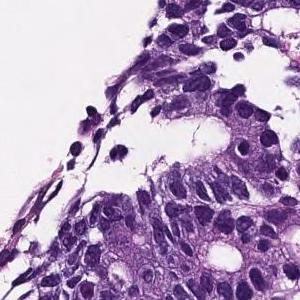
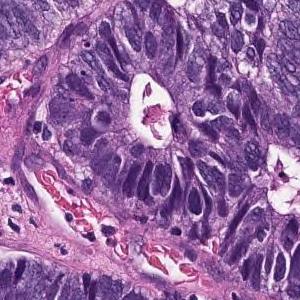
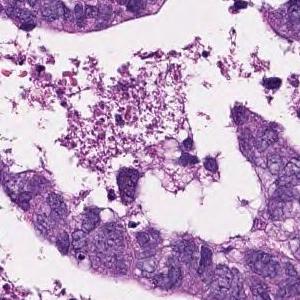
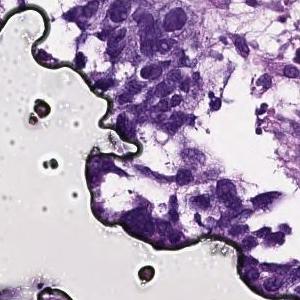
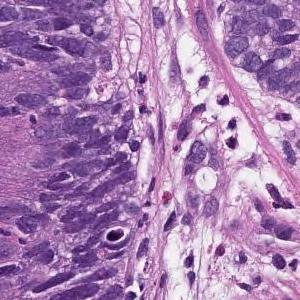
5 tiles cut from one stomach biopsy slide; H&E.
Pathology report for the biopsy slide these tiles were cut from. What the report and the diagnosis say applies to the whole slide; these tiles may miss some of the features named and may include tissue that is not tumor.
In the superficial epithelium, tumor tissue that invades by forming medium-sized to small, irregular ducts is observed. moderately differentiated tubular adenocarcinoma.
